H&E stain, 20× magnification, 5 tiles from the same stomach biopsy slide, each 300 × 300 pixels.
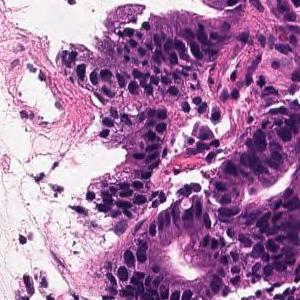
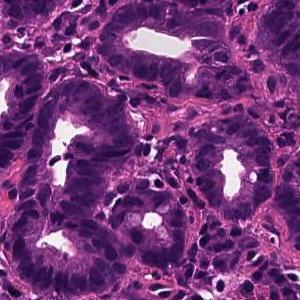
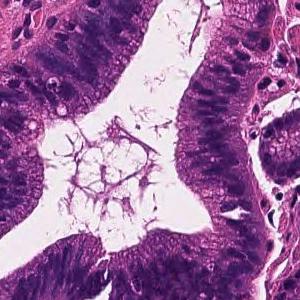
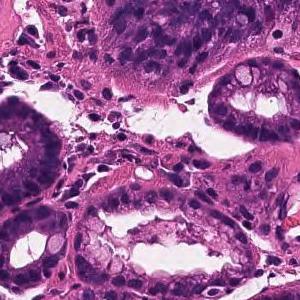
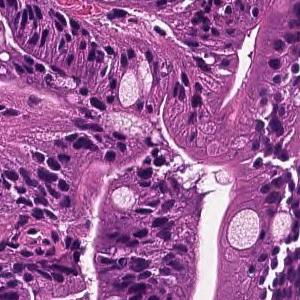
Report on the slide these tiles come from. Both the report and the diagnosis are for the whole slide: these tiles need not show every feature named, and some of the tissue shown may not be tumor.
On the superficial epithelium, tumor tissue that infiltrates by forming medium-sized papillary or small irregular ducts is observed. Papillary adenocarcinoma
